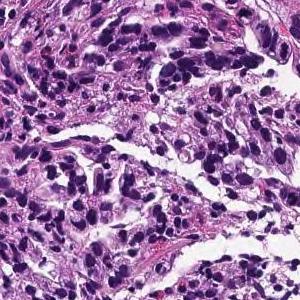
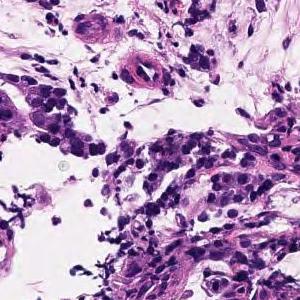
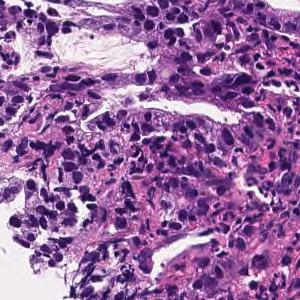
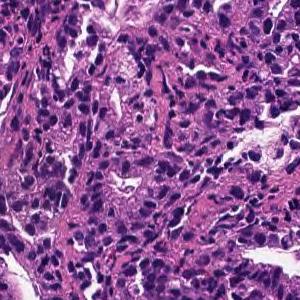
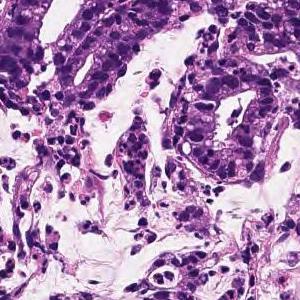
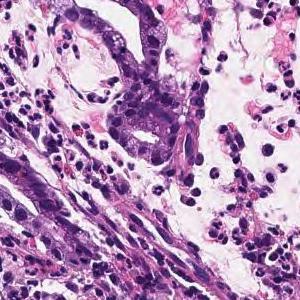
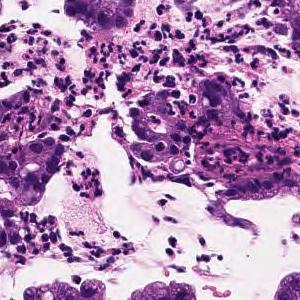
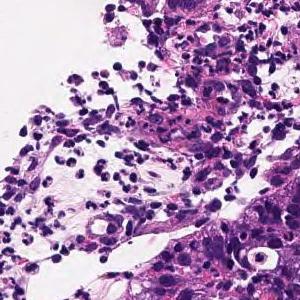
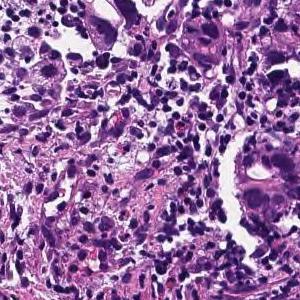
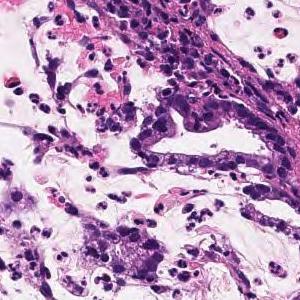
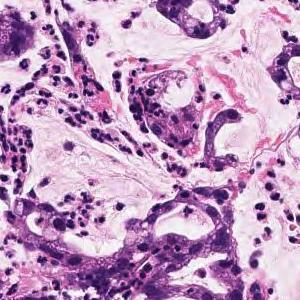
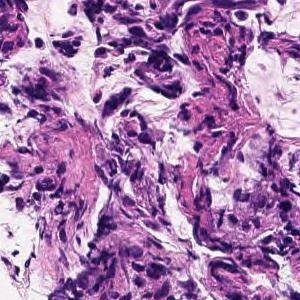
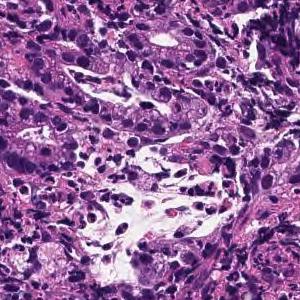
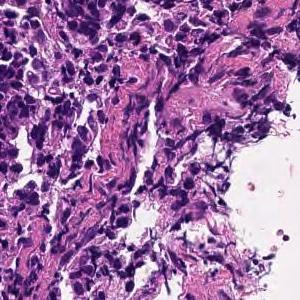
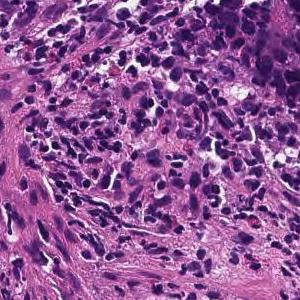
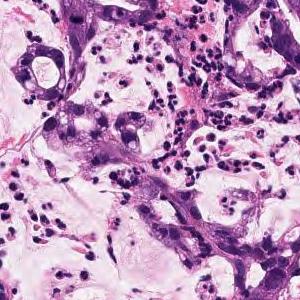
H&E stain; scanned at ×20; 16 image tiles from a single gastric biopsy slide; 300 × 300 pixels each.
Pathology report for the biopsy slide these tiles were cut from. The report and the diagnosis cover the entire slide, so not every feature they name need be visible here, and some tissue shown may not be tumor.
On the superficial epithelium, tumor tissue consisting of large, irregular glandular ducts partially fused and infiltrated is observed. Well to moderately differentiated tubular adenocarcinoma (well differentiated tubular adenocarcinoma, moderately differentiated tubular adenocarcinoma)
Subtype: Well to moderately differentiated tubular adenocarcinoma.
